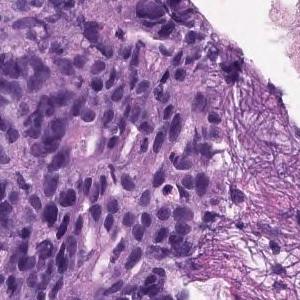
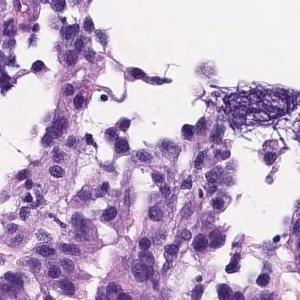
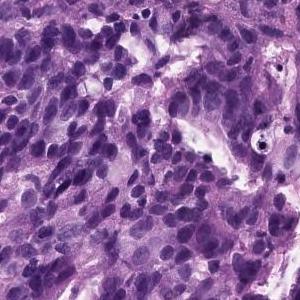
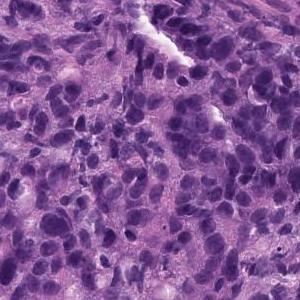
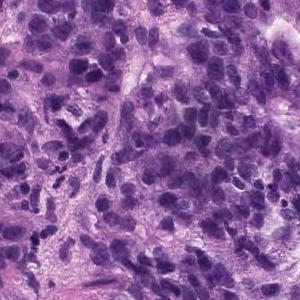
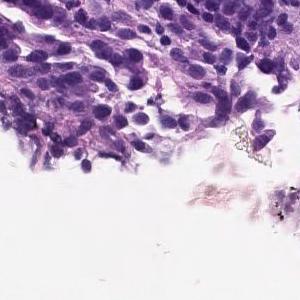
20× magnification; 6 tiles from the same stomach biopsy slide; 300 × 300 pixels each.
Pathology report for the slide these tiles were cut from. The findings and the diagnosis refer to the entire slide; these tiles show only part of it, possibly with non-tumor tissue, and may not show every feature named.
Group 5, Adenocarcinoma. Poorly differentiated adenocarcinoma, non-solid type
The term "non-solid type" comes from the Japanese Classification of Gastric Carcinoma.
